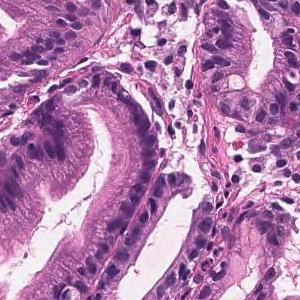
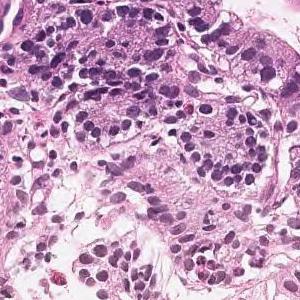
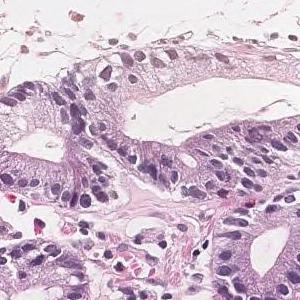
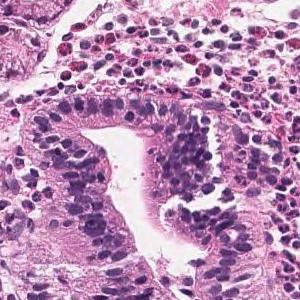
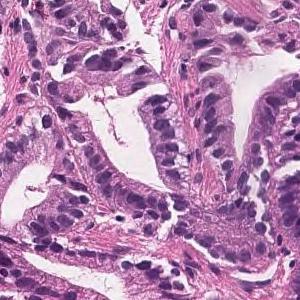
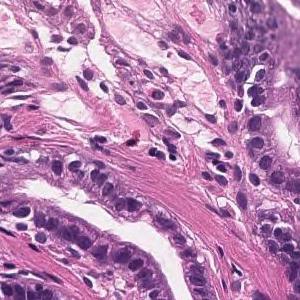
6 tiles cut from one stomach biopsy slide · H&E · 20× magnification.
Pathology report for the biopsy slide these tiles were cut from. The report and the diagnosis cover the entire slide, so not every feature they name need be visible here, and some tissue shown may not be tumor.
Tumor tissue in which medium to small irregular ducts infiltrate and proliferate in the submucosa can be seen in the epithelium. Well differentiated tubular adenocarcinoma
